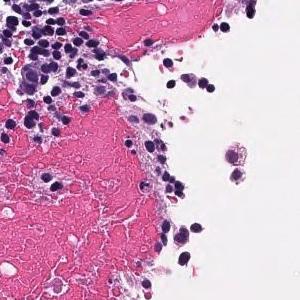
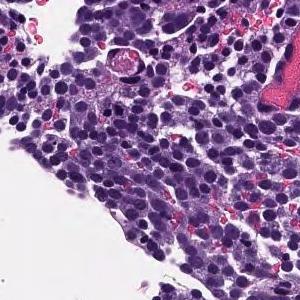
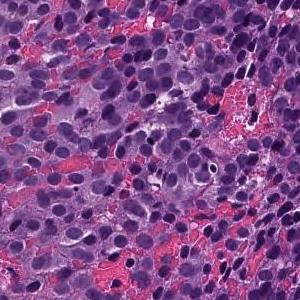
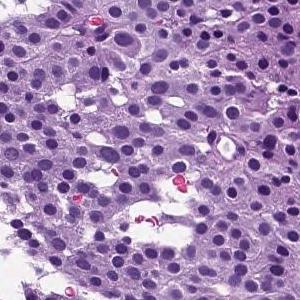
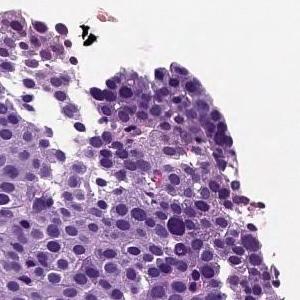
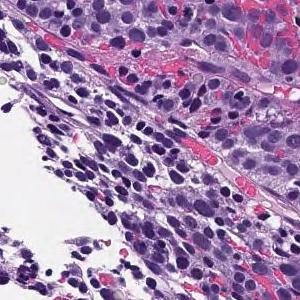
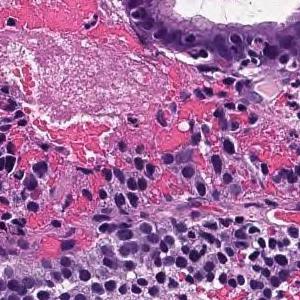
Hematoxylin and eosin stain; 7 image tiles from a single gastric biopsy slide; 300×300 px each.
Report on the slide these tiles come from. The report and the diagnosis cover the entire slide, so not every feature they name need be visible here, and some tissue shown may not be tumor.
The superficial epithelium shows a large sheet-like shape, and some tumor tissue infiltrates with small irregular ducts. Poorly differentiated adenocarcinoma, solid-type
Histologic type: Poorly differentiated adenocarcinoma, solid type (Japanese Classification of Gastric Carcinoma). The WHO 2019 equivalent is tubular adenocarcinoma, poorly differentiated.
